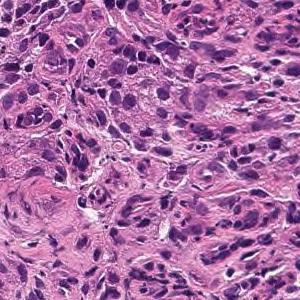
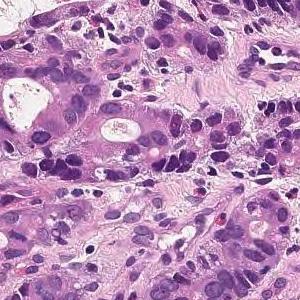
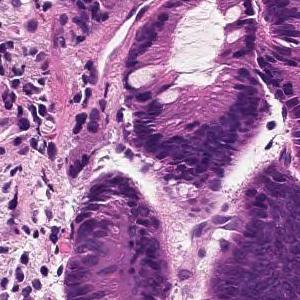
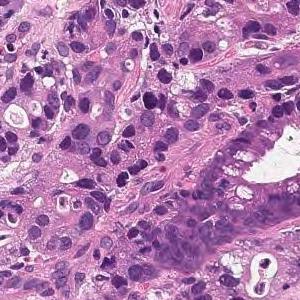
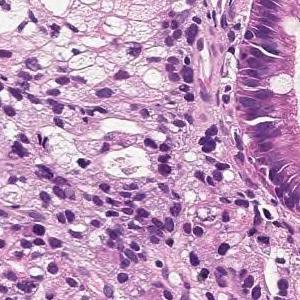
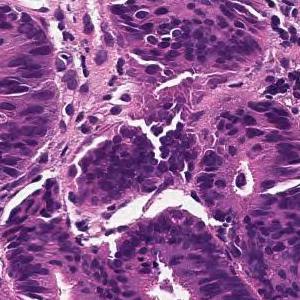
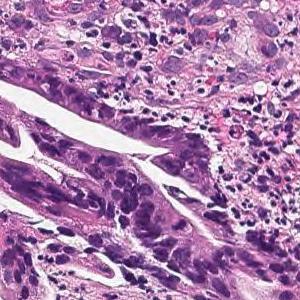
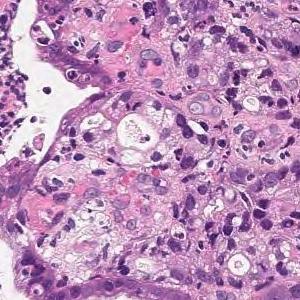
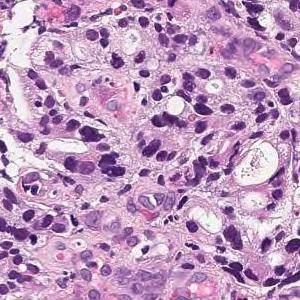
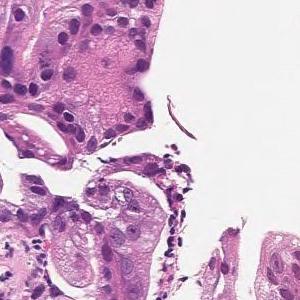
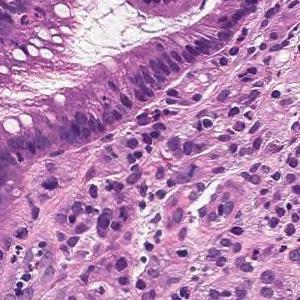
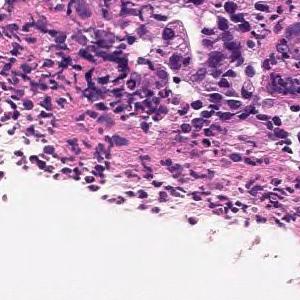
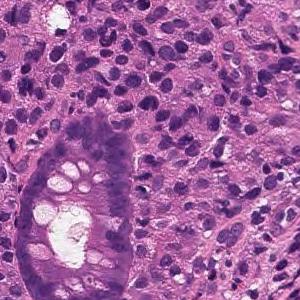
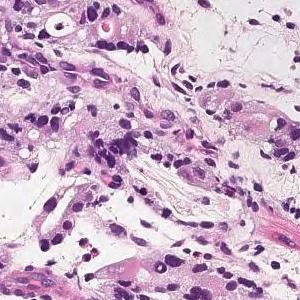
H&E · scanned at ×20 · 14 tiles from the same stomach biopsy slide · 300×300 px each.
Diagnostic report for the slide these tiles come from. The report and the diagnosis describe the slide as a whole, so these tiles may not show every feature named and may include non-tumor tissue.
In the superficial epithelium, medium to small irregular gland ducts are formed, and in some cases, the ducts are fused to show solid alveolar lesions and infiltrating tumor tissue is observed. moderately differentiated tubular adenocarcinoma or poorly differentiated adenocarcinoma, solid-type (poorly differentiated adenocarcinoma, solid type)
The dataset labels this slide poorly differentiated adenocarcinoma, solid type, a category of the Japanese Classification of Gastric Carcinoma; in the WHO 2019 classification it is tubular adenocarcinoma, poorly differentiated.
